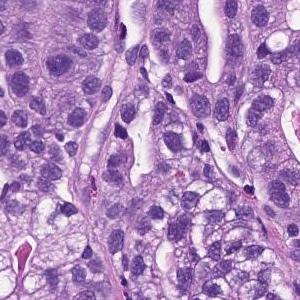
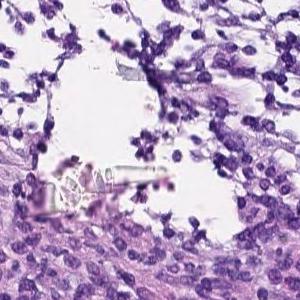
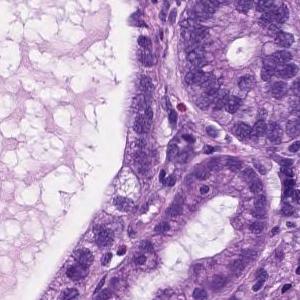
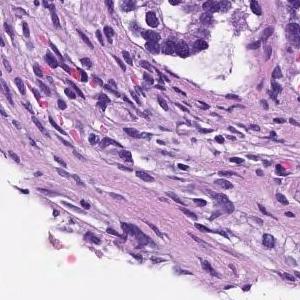
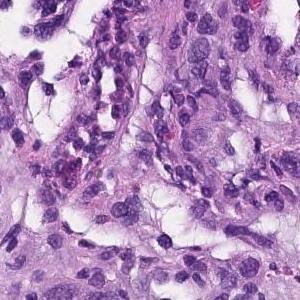
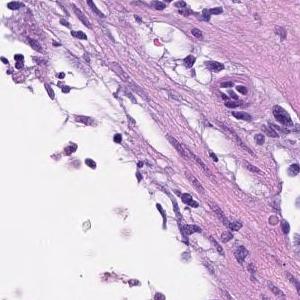
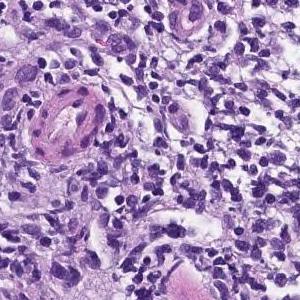
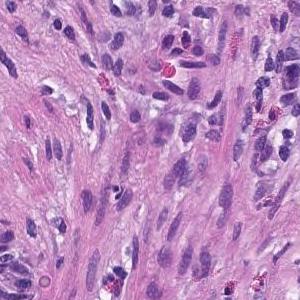
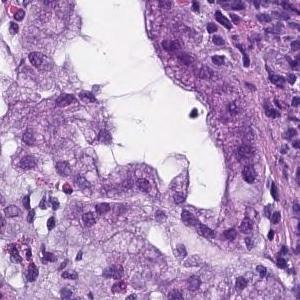
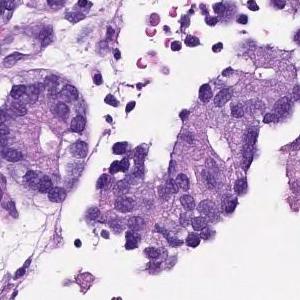
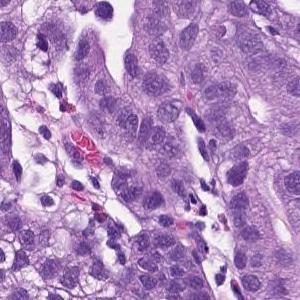
11 tiles from the same stomach biopsy slide · H&E · 20× magnification.
The pathologist's report on the biopsy slide these tiles were taken from. The report and the diagnosis describe the slide as a whole, so these tiles may not show every feature named and may include non-tumor tissue.
From the superficial epithelium to the muscularis mucosae, tumor tissue consisting of medium-sized and irregular glandular ducts infiltrating is observed. Well differentiated tubular adenocarcinoma
